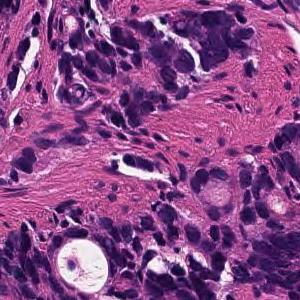
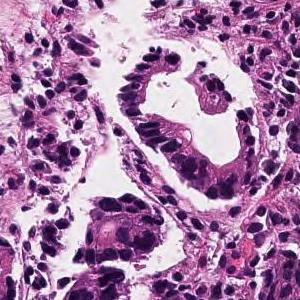
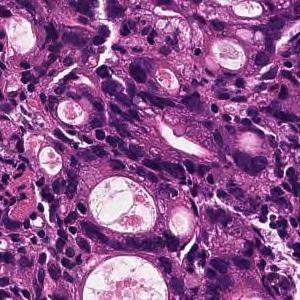
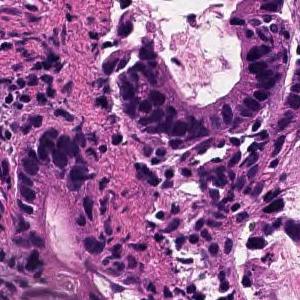
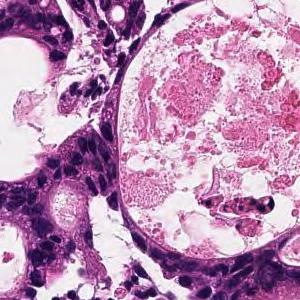
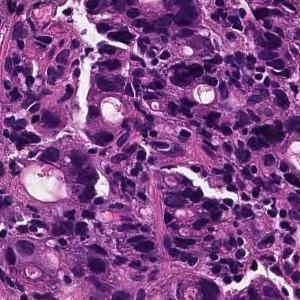
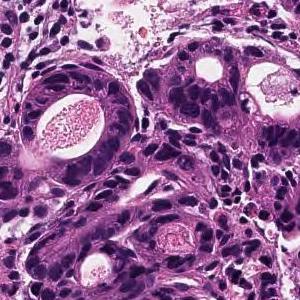
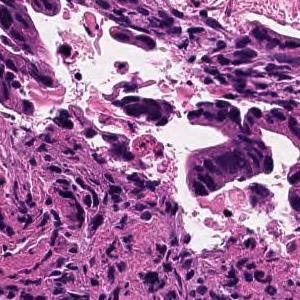
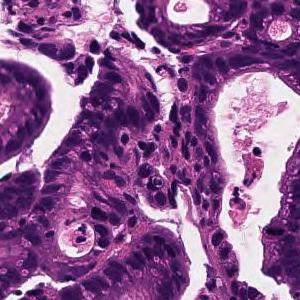
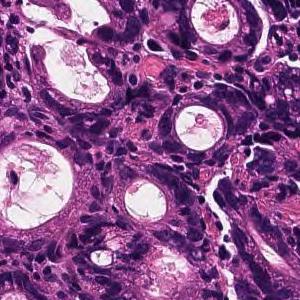
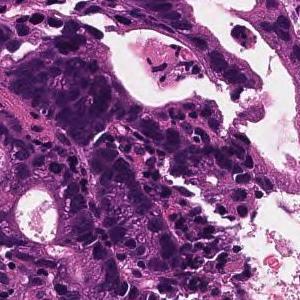
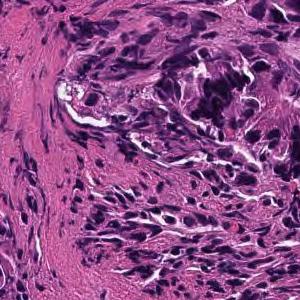
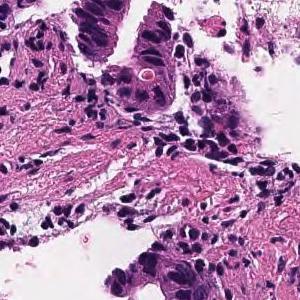
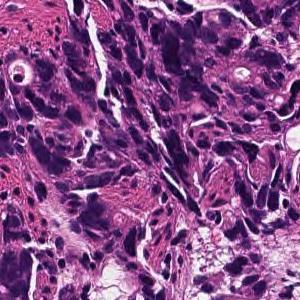
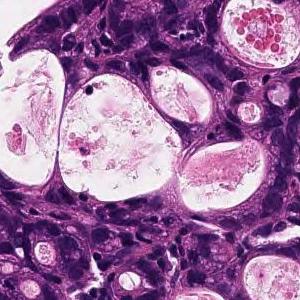
H&E · 20× magnification · 15 tiles from the same stomach biopsy slide · each 300 × 300 pixels.
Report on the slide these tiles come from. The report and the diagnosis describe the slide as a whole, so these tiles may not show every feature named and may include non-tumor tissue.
In the superficial epithelium, tumor tissue that invades by forming medium-sized to small, irregular ducts is observed. moderately differentiated tubular adenocarcinoma.
